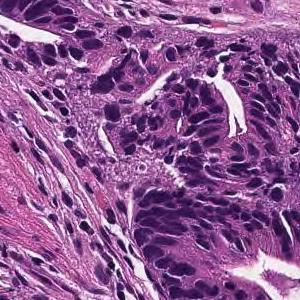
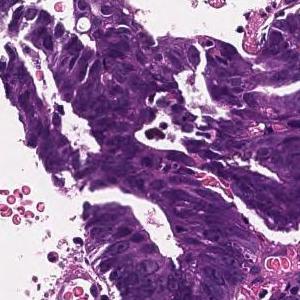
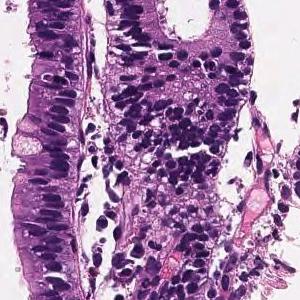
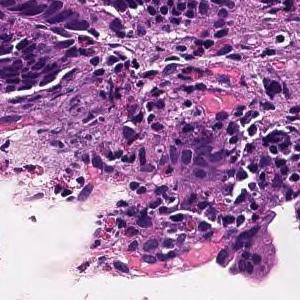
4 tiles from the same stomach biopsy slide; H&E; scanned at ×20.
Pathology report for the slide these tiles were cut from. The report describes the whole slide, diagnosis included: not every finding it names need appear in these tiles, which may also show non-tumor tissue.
Tumor tissue consisting of large papillary structures is found in the superficial epithelium. Papillary adenocarcinoma.
